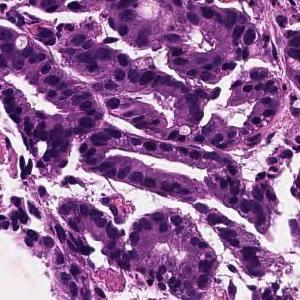
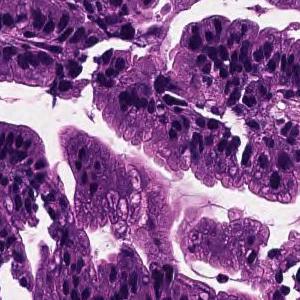
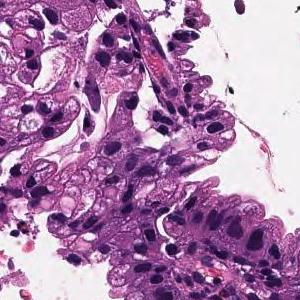
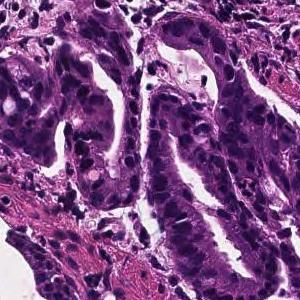
4 tiles from the same stomach biopsy slide; H&E; 20× magnification.
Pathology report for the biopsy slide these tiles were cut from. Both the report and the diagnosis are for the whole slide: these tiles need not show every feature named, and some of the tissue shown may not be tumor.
On the superficial epithelium, tumor tissue that infiltrates by forming medium-sized papillary or small irregular ducts is observed. Papillary adenocarcinoma
